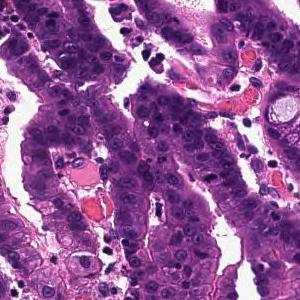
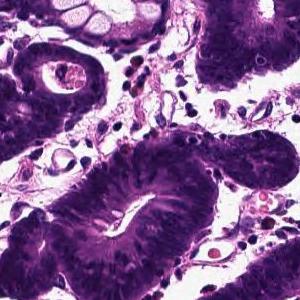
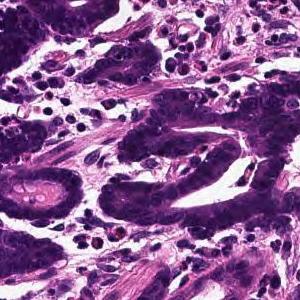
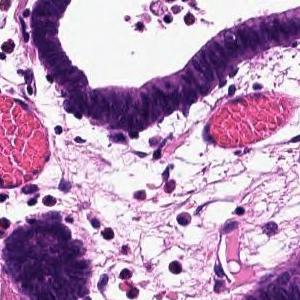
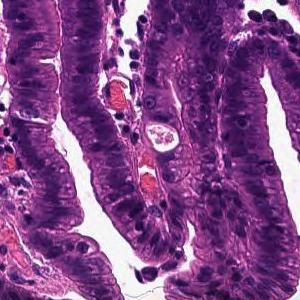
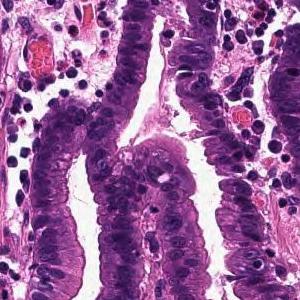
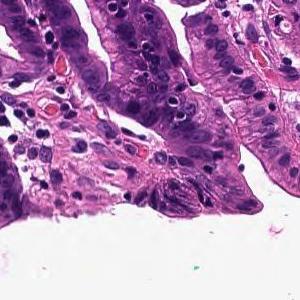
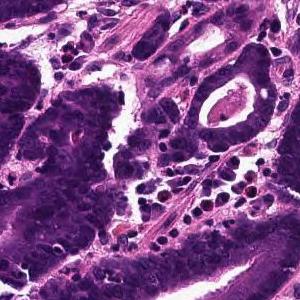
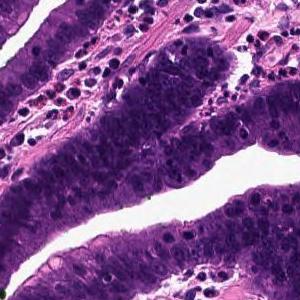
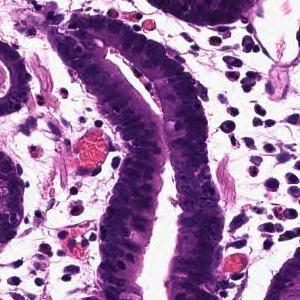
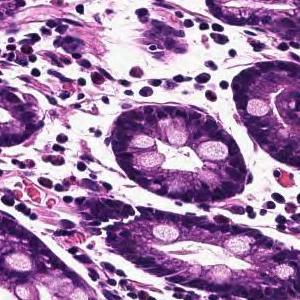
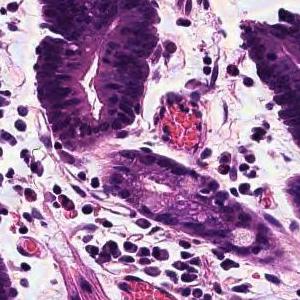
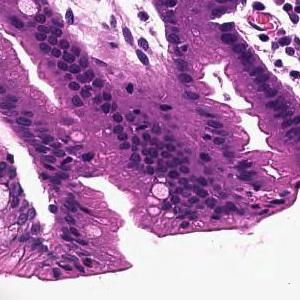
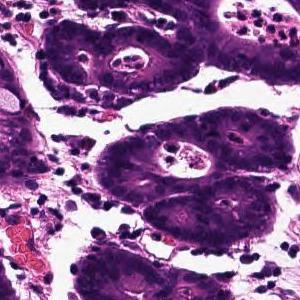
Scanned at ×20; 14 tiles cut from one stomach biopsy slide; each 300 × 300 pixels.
Pathology report for the slide these tiles were cut from. The report and the diagnosis cover the entire slide, so not every feature they name need be visible here, and some tissue shown may not be tumor.
Tumor tissue that infiltrates by forming large papillary or large irregular glandular ducts is observed confined to the mucosa. Papillary adenocarcinoma
